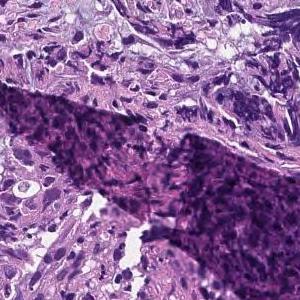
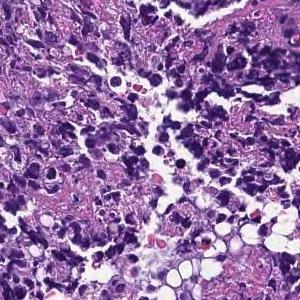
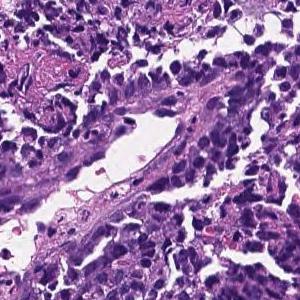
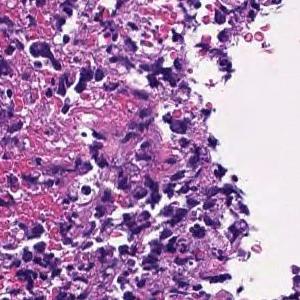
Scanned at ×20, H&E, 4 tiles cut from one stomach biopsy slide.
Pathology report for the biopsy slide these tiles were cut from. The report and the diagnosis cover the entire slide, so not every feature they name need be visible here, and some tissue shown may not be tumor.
Most are composed of coagulative necrotic tissue, but some show a large sheet-like shape, and some show tumor tissue infiltrating with a small cord-like structure. Poorly differentiated adenocarcinoma, solid-type
Classified as poorly differentiated adenocarcinoma, solid type. This name comes from the Japanese Classification of Gastric Carcinoma; the WHO 2019 classification calls it tubular adenocarcinoma, poorly differentiated.
